H&E stain · 16 tiles cut from one stomach biopsy slide.
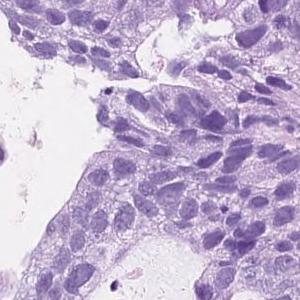
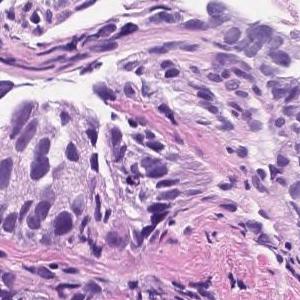
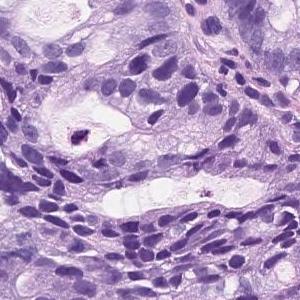
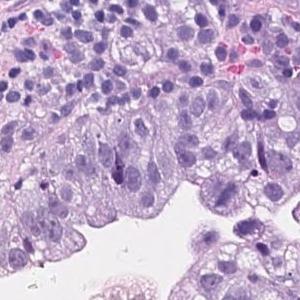
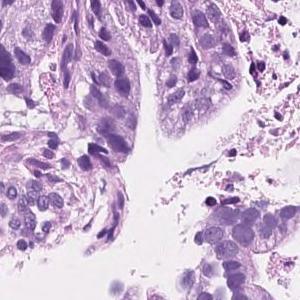
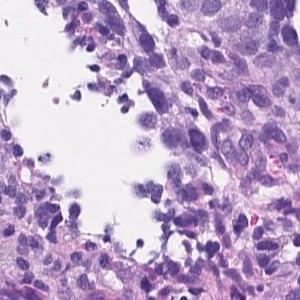
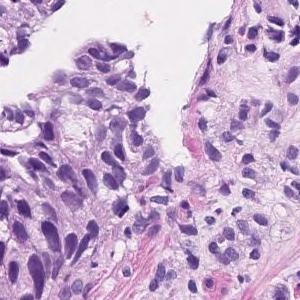
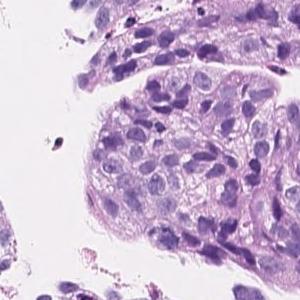
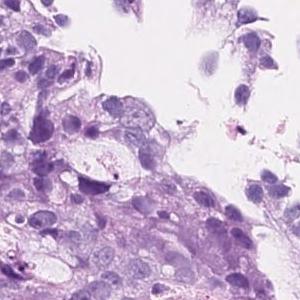
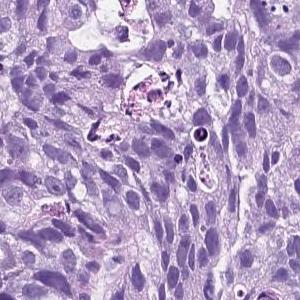
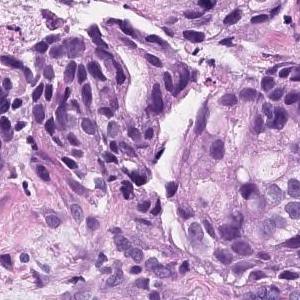
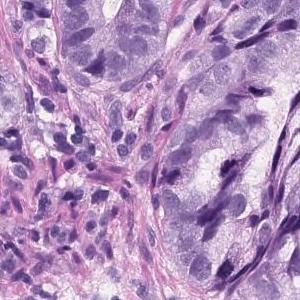
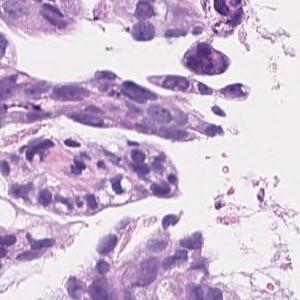
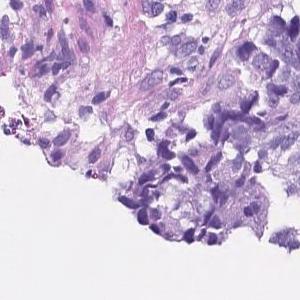
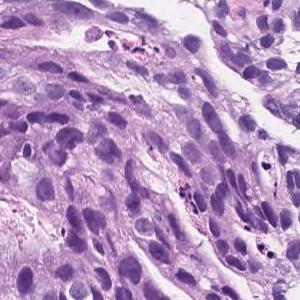
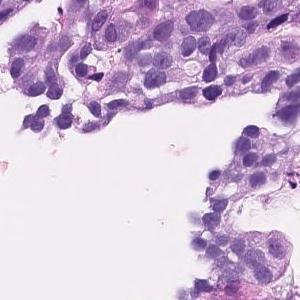
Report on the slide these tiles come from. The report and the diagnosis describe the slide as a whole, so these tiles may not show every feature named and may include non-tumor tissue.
On the superficial epithelium, tumor tissue consisting of an image of large, irregular glandular ducts partially fused and infiltrated is observed. Well to moderately differentiated tubular adenocarcinoma
